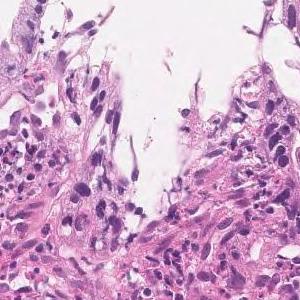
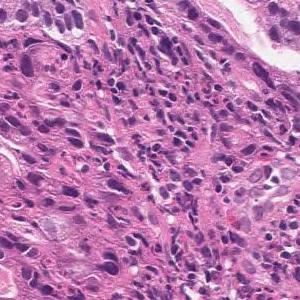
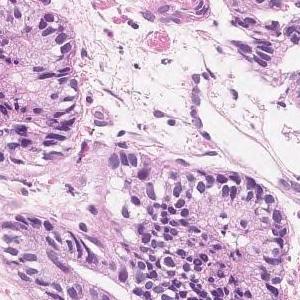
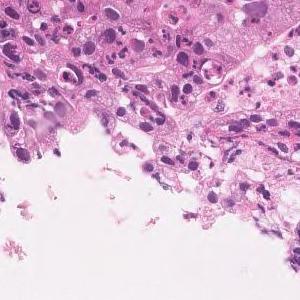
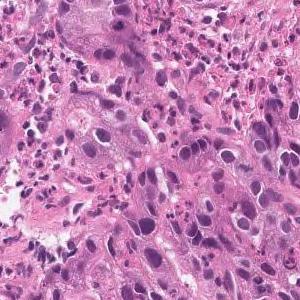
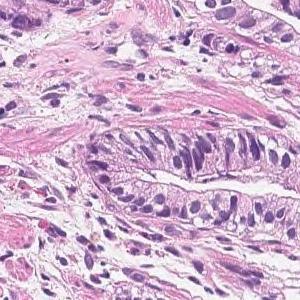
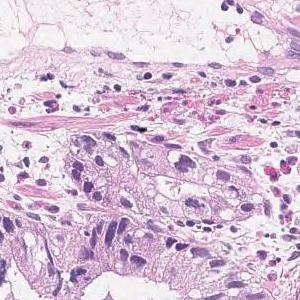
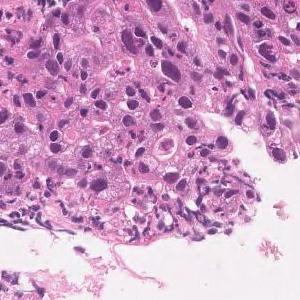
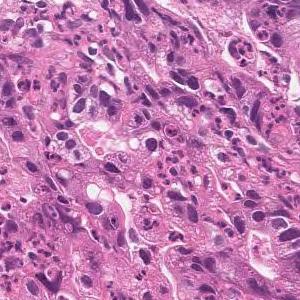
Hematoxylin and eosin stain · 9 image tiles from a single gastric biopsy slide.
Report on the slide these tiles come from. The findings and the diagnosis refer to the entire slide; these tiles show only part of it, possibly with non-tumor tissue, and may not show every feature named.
In the superficial epithelium, tumor tissue that invades by forming medium-sized to small, irregular ducts is observed. Moderately differentiated adenocarcinoma.
Histological subtype: Moderately differentiated tubular adenocarcinoma.
